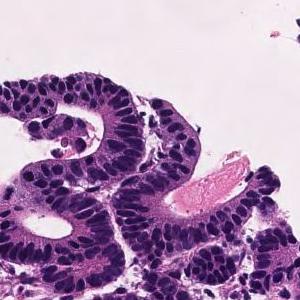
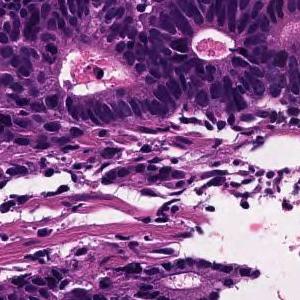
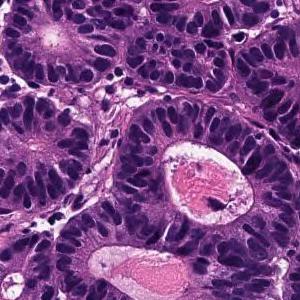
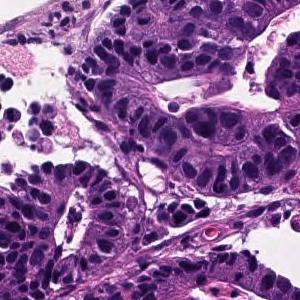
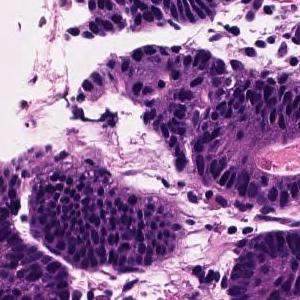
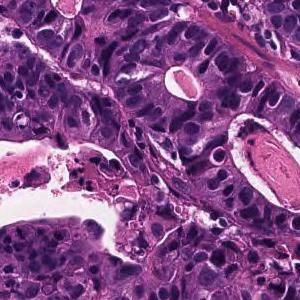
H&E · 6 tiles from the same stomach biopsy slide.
The pathologist's report on the biopsy slide these tiles were taken from. Both the report and the diagnosis are for the whole slide: these tiles need not show every feature named, and some of the tissue shown may not be tumor.
In the superficial epithelium, tumor tissue that invades by forming medium-sized to small, irregular ducts is observed. moderately differentiated tubular adenocarcinoma.
